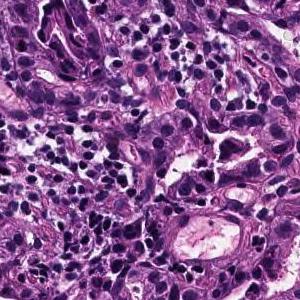
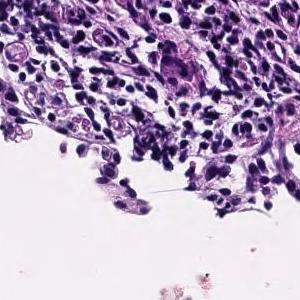
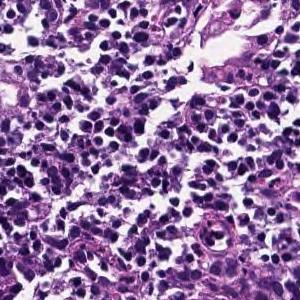
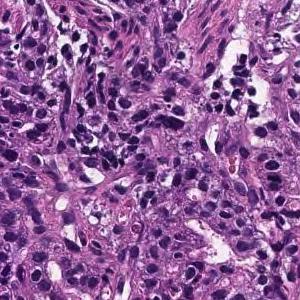
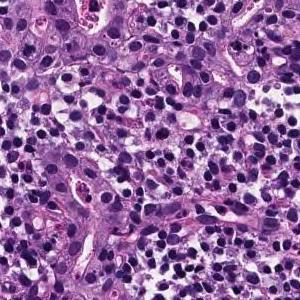
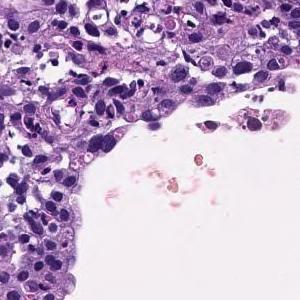
6 patches cut from one gastric biopsy slide, 300×300 px each, ×20, hematoxylin and eosin stain.
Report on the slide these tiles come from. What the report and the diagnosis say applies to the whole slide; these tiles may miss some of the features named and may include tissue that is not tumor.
Medium to small, irregular glandular ducts are formed in the superficial epithelium, and in some cases, the glandular ducts are fused to show solid alveolar lesions and infiltrating tumor tissue is observed. Moderately to poorly differentiated adenocarcinoma.
